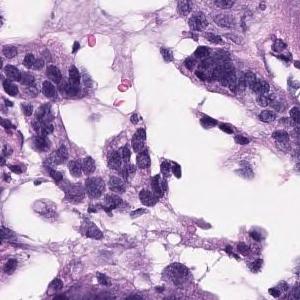
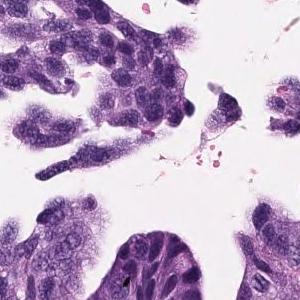
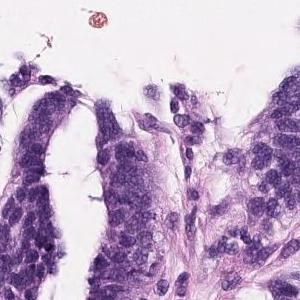
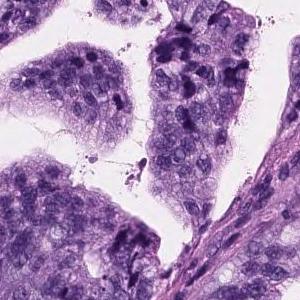
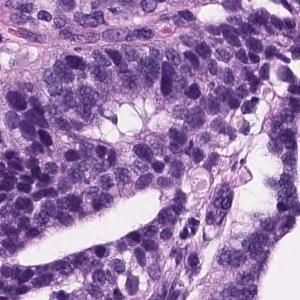
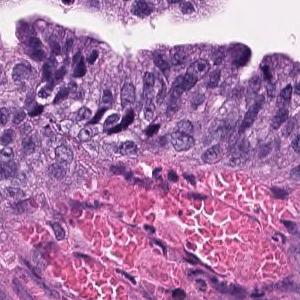
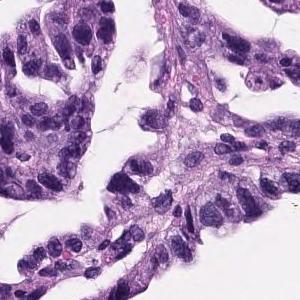
H&E, 20× magnification, 7 patches cut from one gastric biopsy slide.
Diagnostic report for the slide these tiles come from. Both the report and the diagnosis are for the whole slide: these tiles need not show every feature named, and some of the tissue shown may not be tumor.
Tumor cells are large, highly columnar, large club-shaped nuclei, and are associated with chromatin aggregation. Papillary adenocarcinoma.
